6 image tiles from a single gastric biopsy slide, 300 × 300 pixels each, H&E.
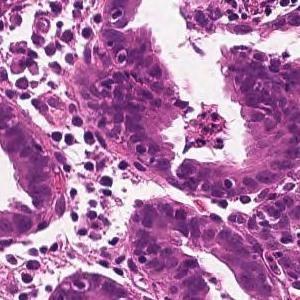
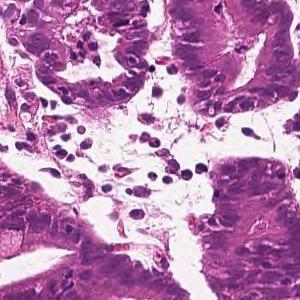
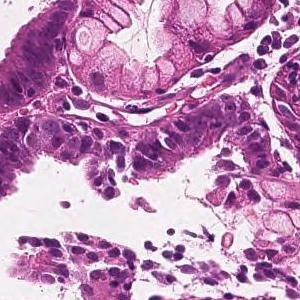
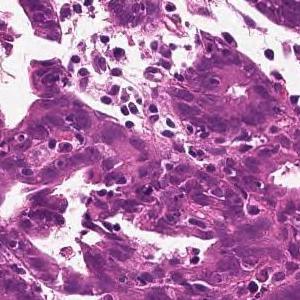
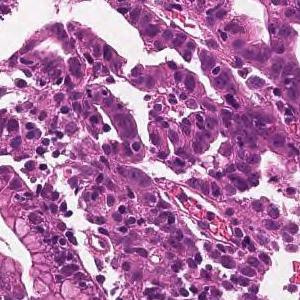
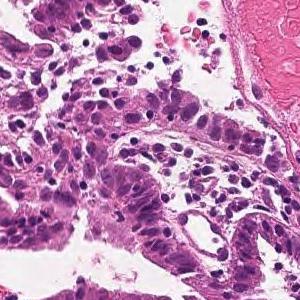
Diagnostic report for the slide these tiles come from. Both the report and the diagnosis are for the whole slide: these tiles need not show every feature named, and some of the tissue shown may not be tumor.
On the superficial epithelium, tumor tissue is found in which medium-sized irregular gland ducts fuse with each other and infiltrate. moderately differentiated tubular adenocarcinoma
